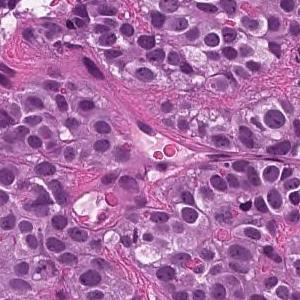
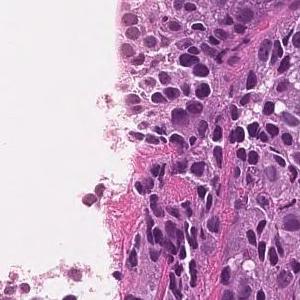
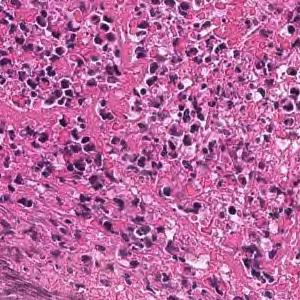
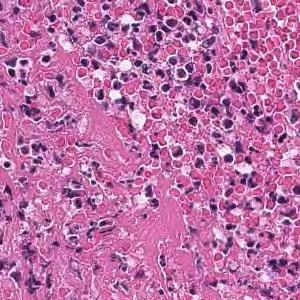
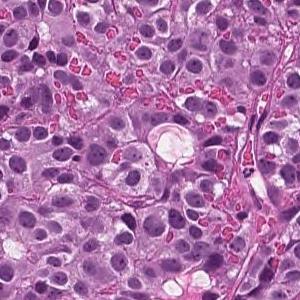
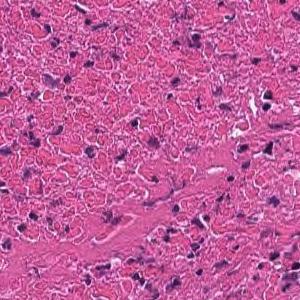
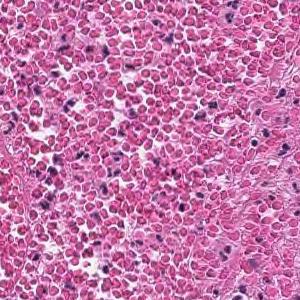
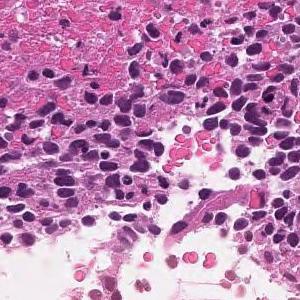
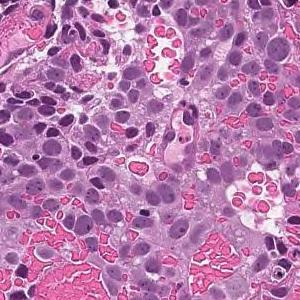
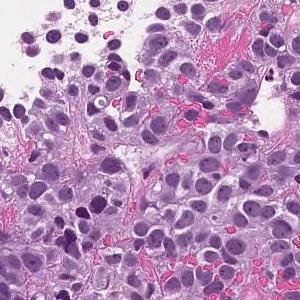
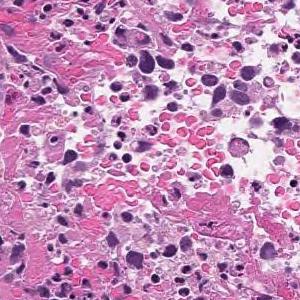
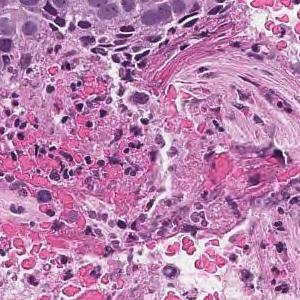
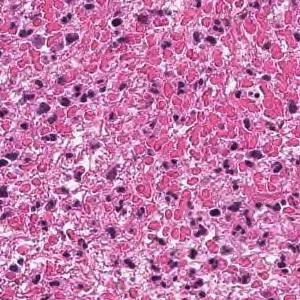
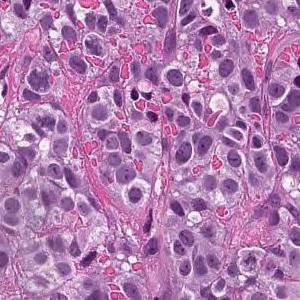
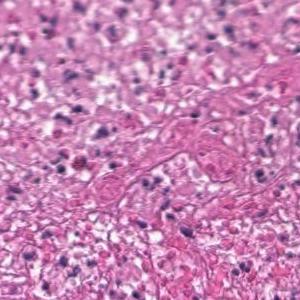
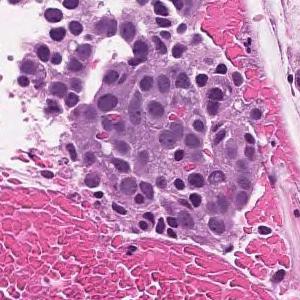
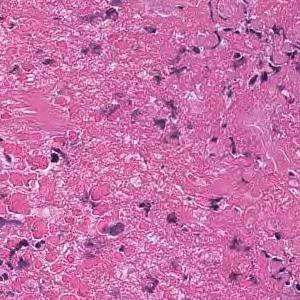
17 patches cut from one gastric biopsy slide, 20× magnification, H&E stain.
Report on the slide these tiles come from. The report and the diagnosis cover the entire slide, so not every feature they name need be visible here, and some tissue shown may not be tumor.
The superficial epithelium shows a large sheet-like shape, and some tumor tissue infiltrates with small irregular ducts. Poorly differentiated adenocarcinoma, solid-type
Histological subtype: Poorly differentiated adenocarcinoma, solid type. This name comes from the Japanese Classification of Gastric Carcinoma; the WHO 2019 classification calls it tubular adenocarcinoma, poorly differentiated.
